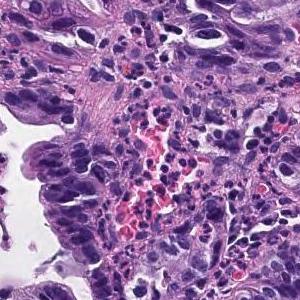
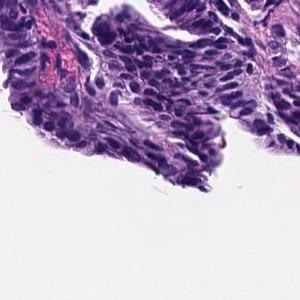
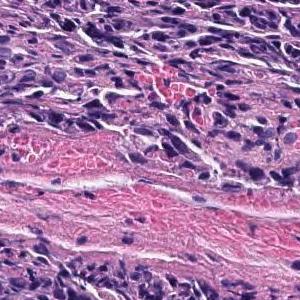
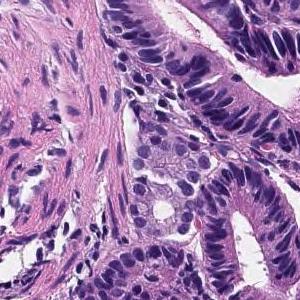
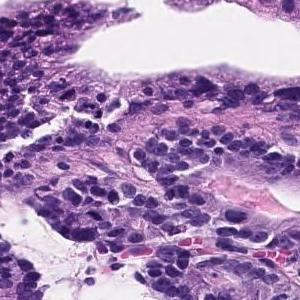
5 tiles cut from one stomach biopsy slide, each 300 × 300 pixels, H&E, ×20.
Report on the slide these tiles come from. The findings and the diagnosis refer to the entire slide; these tiles show only part of it, possibly with non-tumor tissue, and may not show every feature named.
The superficial tumors shows large papillary structures or large and small ducts and infiltrates. Papillary adenocarcinoma.
